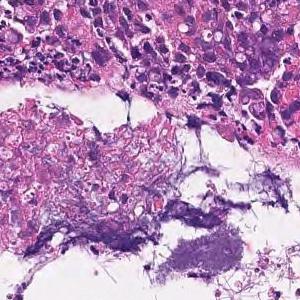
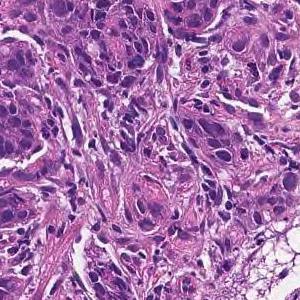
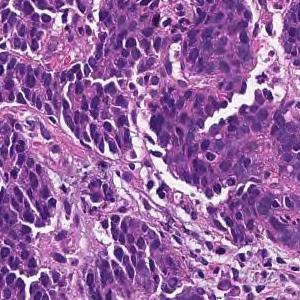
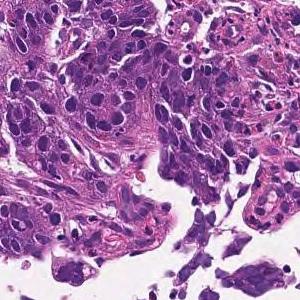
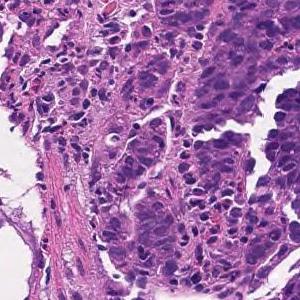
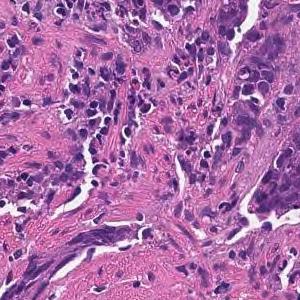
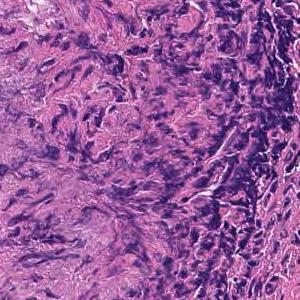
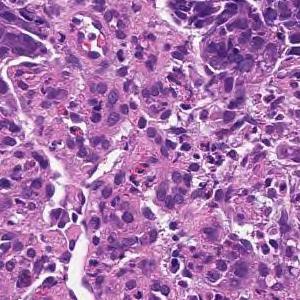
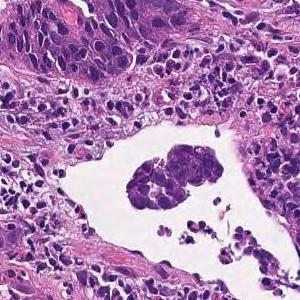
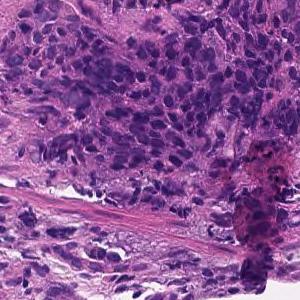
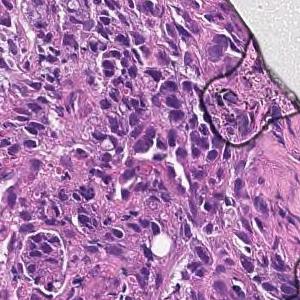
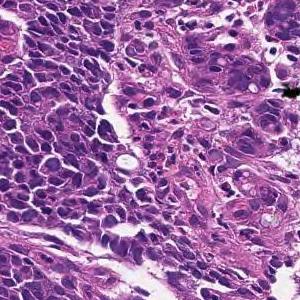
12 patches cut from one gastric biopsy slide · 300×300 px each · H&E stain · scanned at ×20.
Pathology report for the slide these tiles were cut from. The report describes the whole slide, diagnosis included: not every finding it names need appear in these tiles, which may also show non-tumor tissue.
Tumor tissue consisting of cord-like or small, irregular glandular ducts fused and infiltrated is observed in the superficial epithelium. Poorly differentiated adenocarcinoma, non-solid type
"Non-solid type" is a category of the Japanese Classification of Gastric Carcinoma.
